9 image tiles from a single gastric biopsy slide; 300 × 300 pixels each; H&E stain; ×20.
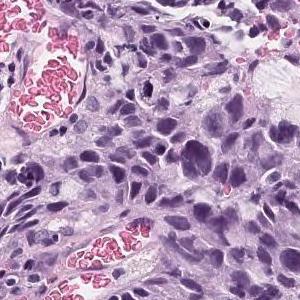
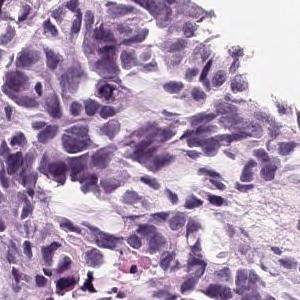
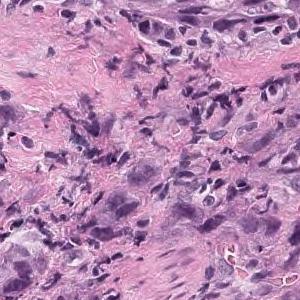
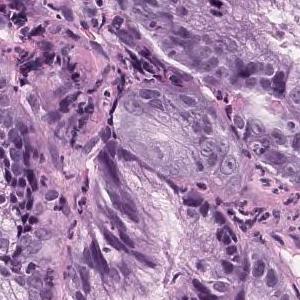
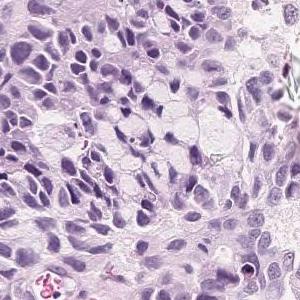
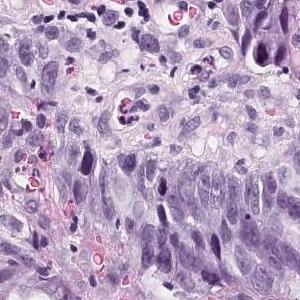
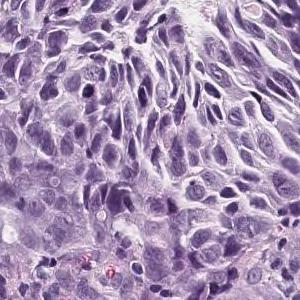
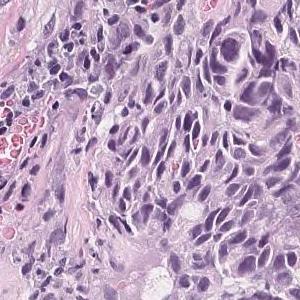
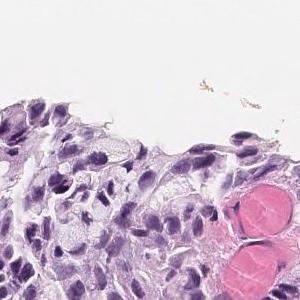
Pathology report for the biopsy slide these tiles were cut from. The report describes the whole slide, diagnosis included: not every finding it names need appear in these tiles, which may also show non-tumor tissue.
Large atypical epithelial cells showing polymorphism form solid alveolar lesions, and tumor tissue infiltrating with microglandular cavities is observed. Poorly differentiated adenocarcinoma, solid-type
Classified as poorly differentiated adenocarcinoma, solid type (Japanese Classification of Gastric Carcinoma). The WHO 2019 equivalent is tubular adenocarcinoma, poorly differentiated.
